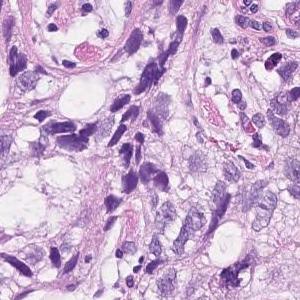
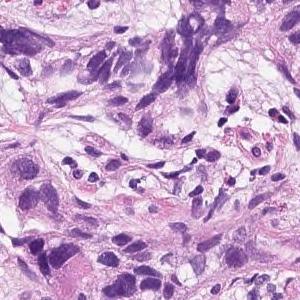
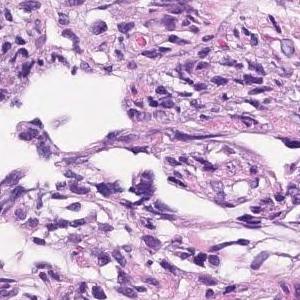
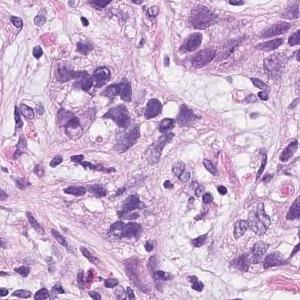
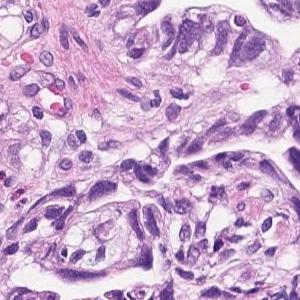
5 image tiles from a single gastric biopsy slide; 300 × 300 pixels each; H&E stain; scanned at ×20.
Pathology report for the slide these tiles were cut from. Both the report and the diagnosis are for the whole slide: these tiles need not show every feature named, and some of the tissue shown may not be tumor.
In the superficial epithelium, tumor tissue that invades by forming medium-sized to small, irregular ducts is observed. Moderately differentiated adenocarcinoma.
Histologic type: Moderately differentiated tubular adenocarcinoma.
